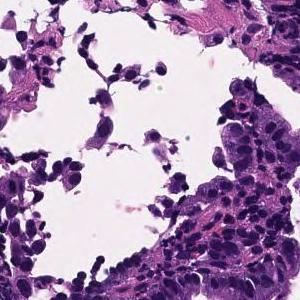
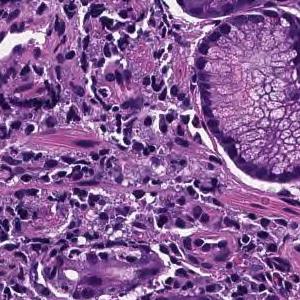
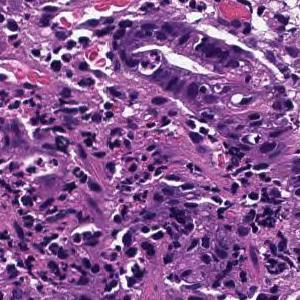
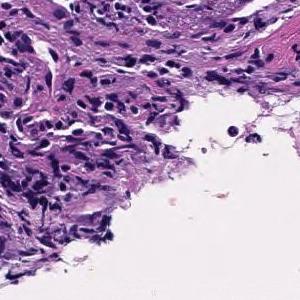
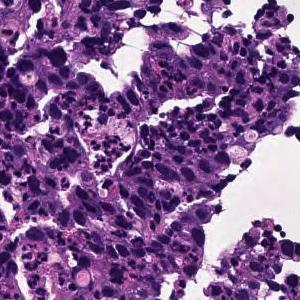
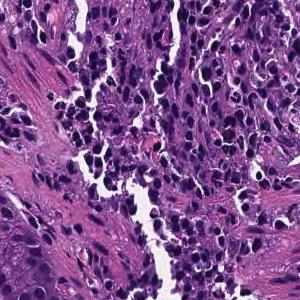
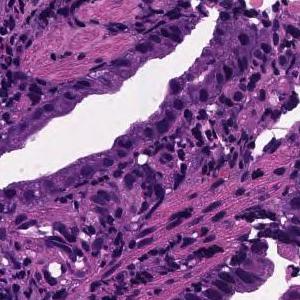
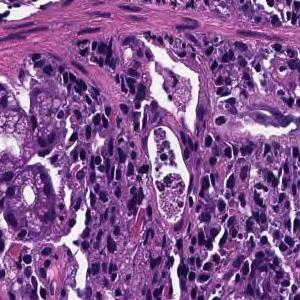
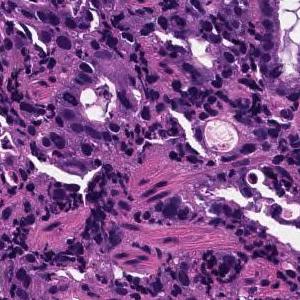
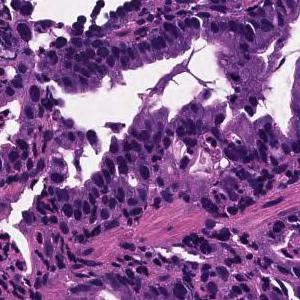
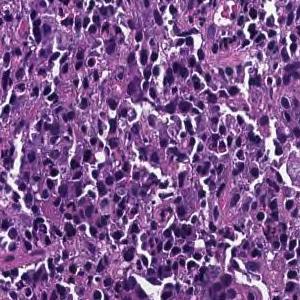
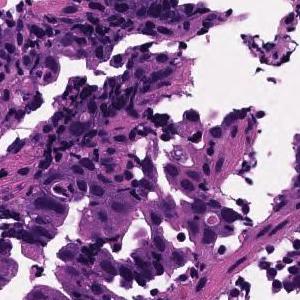
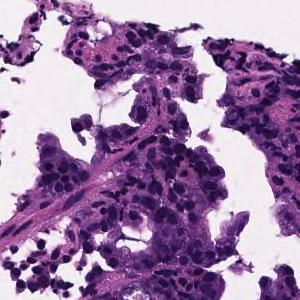
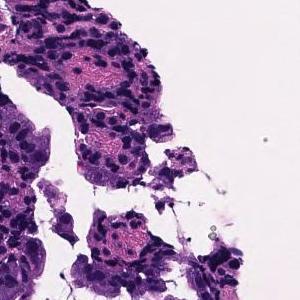
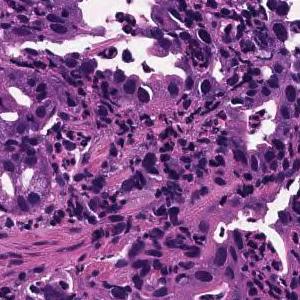
×20; 15 tiles from the same stomach biopsy slide.
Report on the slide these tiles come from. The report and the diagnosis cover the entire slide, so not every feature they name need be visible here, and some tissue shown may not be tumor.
Medium to small, irregular glandular ducts are formed in the superficial epithelium, and in some cases, the glandular ducts are fused to show solid alveolar lesions and infiltrating tumor tissue is observed. Moderately to poorly differentiated adenocarcinoma.
